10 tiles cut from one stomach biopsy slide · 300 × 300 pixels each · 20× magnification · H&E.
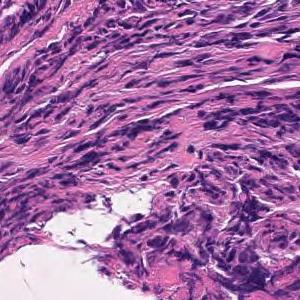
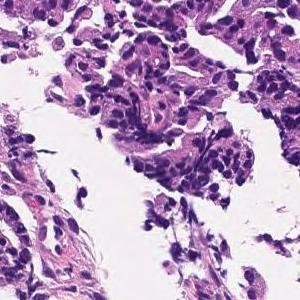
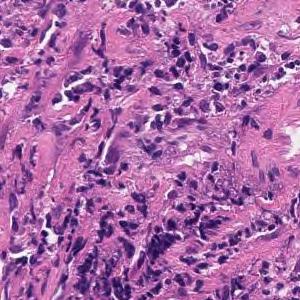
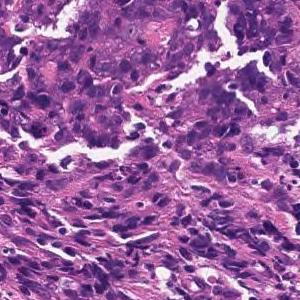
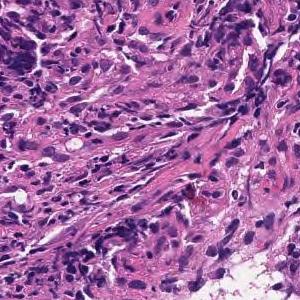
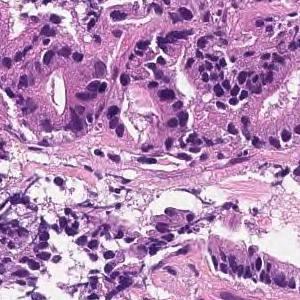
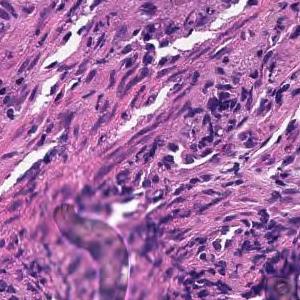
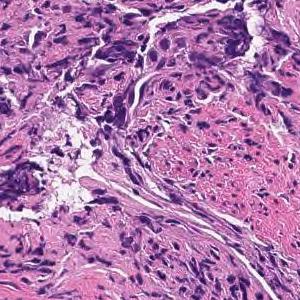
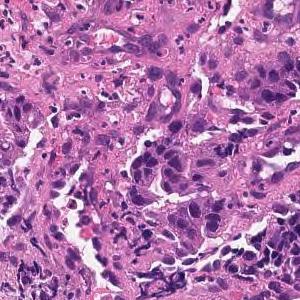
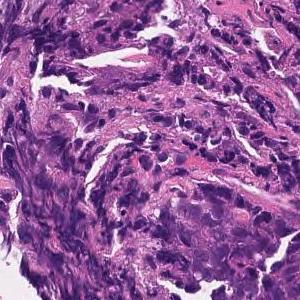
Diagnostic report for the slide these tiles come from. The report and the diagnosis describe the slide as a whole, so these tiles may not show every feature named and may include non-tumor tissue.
Tumor tissue consisting of medium-sized, cord-like or irregular glandular infiltration is observed in the superficial epithelium. Poorly differentiated adenocarcinoma, non-solid type or moderately differentiated tubular adenocarcinoma
Histological subtype: Moderately to poorly differentiated adenocarcinoma.
"Non-solid type" is a category of the Japanese Classification of Gastric Carcinoma.
